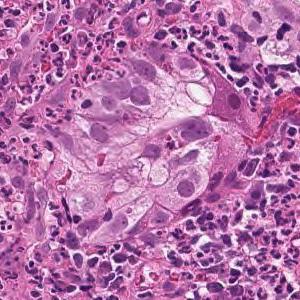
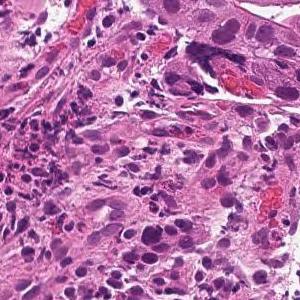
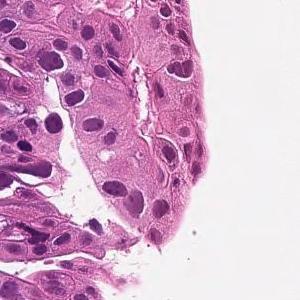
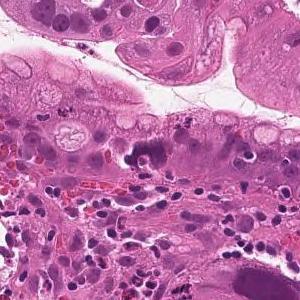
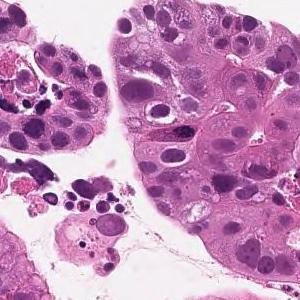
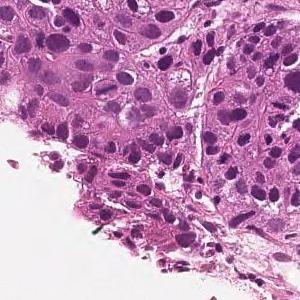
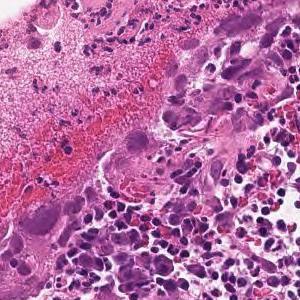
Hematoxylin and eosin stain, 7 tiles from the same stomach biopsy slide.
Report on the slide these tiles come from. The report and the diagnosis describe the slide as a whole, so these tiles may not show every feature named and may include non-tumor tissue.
Large sheet-like or diffusely infiltrating tumor tissue is found in the superficial epithelium. Poorly differentiated adenocarcinoma, solid-type
Classified as poorly differentiated adenocarcinoma, solid type, a category of the Japanese Classification of Gastric Carcinoma; in the WHO 2019 classification it is tubular adenocarcinoma, poorly differentiated.
